4 image tiles from a single gastric biopsy slide, each 300 × 300 pixels, H&E, scanned at ×20.
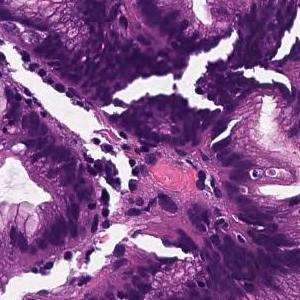
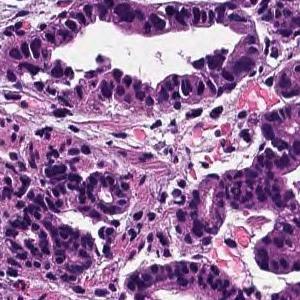
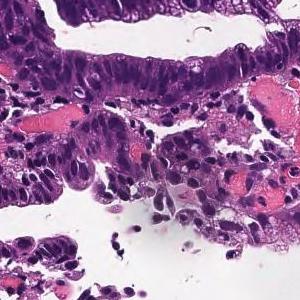
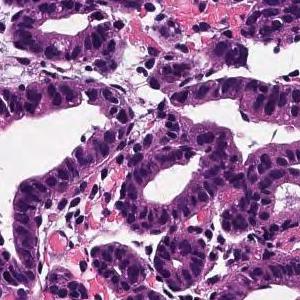
Diagnostic report for the slide these tiles come from. The report describes the whole slide, diagnosis included: not every finding it names need appear in these tiles, which may also show non-tumor tissue.
Cells with elliptical or atypical nuclei form dense ducts with relatively clear growth. Well differentiated tubular adenocarcinoma
